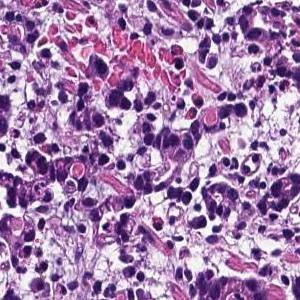
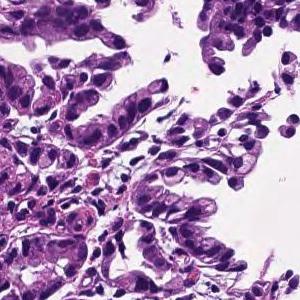
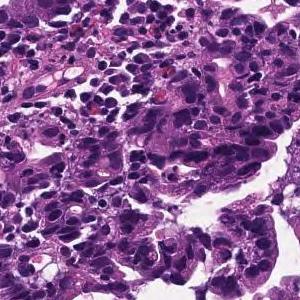
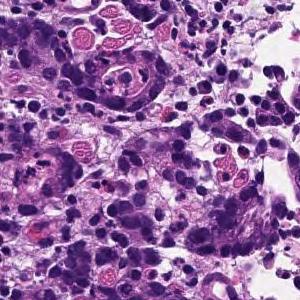
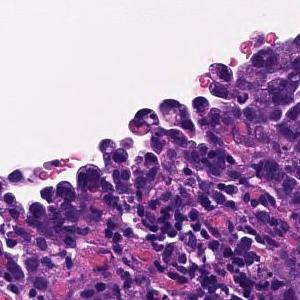
5 tiles cut from one stomach biopsy slide, 300×300 px each, 20× magnification, hematoxylin and eosin stain.
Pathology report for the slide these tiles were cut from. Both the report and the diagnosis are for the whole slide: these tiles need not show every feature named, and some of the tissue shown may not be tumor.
In the superficial epithelium, tumor tissue that invades by forming medium-sized to small, irregular ducts is observed. moderately differentiated tubular adenocarcinoma.
